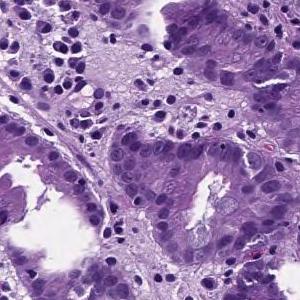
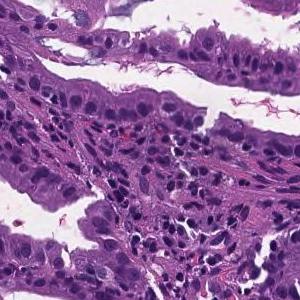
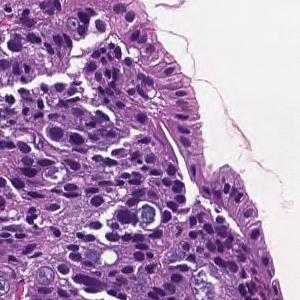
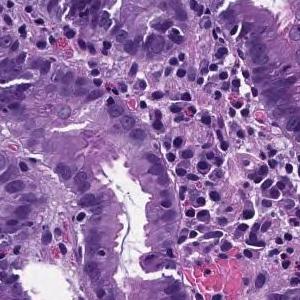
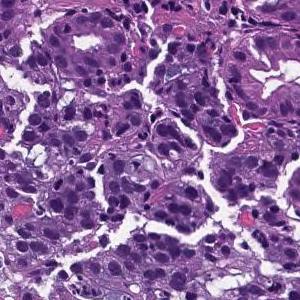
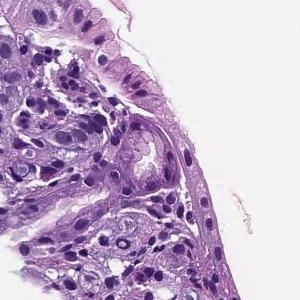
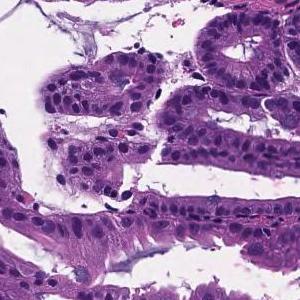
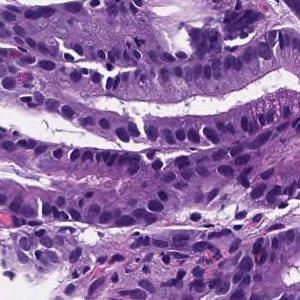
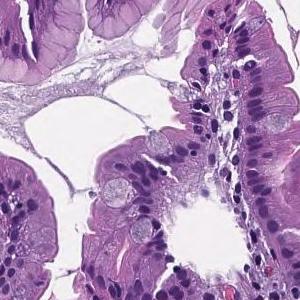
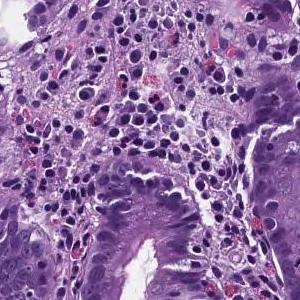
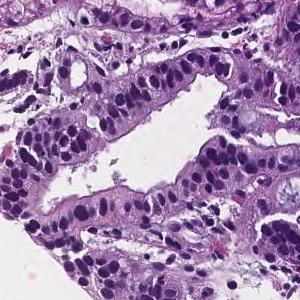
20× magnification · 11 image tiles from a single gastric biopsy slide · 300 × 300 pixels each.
Pathology report for the biopsy slide these tiles were cut from. The report describes the whole slide, diagnosis included: not every finding it names need appear in these tiles, which may also show non-tumor tissue.
In the superficial epithelium, tumor tissue that invades by forming medium-sized to small, irregular ducts is observed. moderately differentiated tubular adenocarcinoma.
